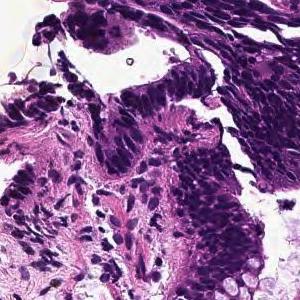
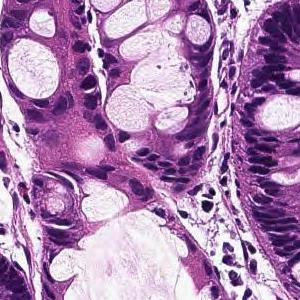
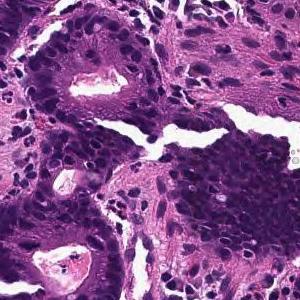
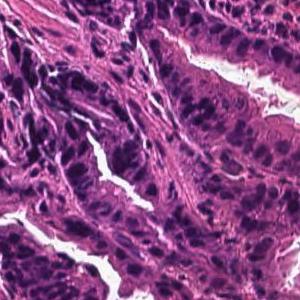
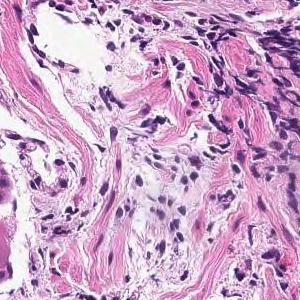
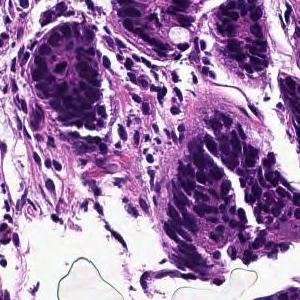
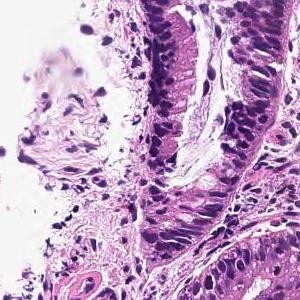
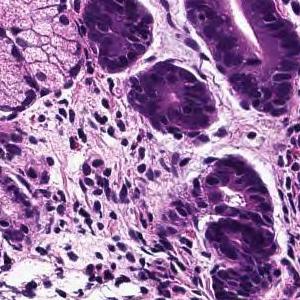
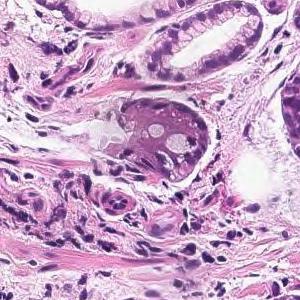
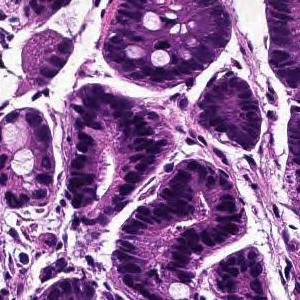
×20 · hematoxylin and eosin stain · 10 tiles cut from one stomach biopsy slide · each 300 × 300 pixels.
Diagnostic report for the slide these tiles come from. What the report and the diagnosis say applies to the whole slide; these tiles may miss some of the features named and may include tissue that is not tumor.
From the superficial epithelium to the muscularis mucosae, tumor tissue consisting of medium-sized and irregular glandular ducts infiltrating is observed. Well differentiated tubular adenocarcinoma
